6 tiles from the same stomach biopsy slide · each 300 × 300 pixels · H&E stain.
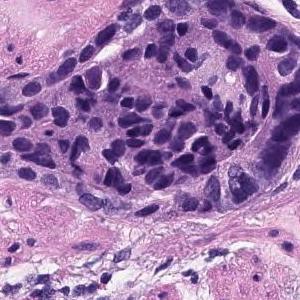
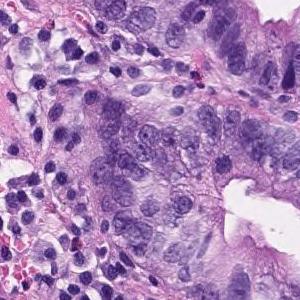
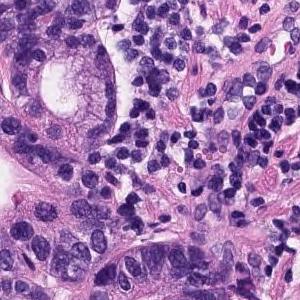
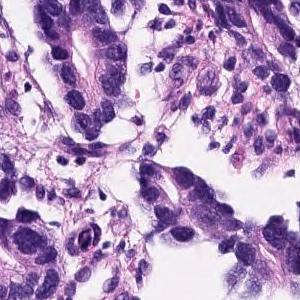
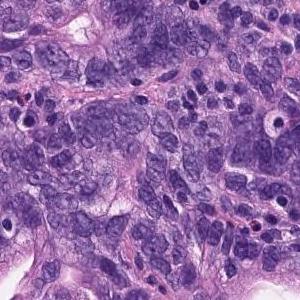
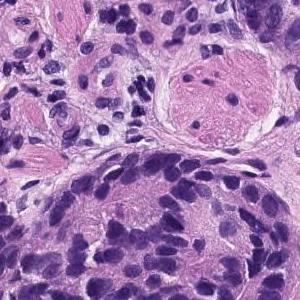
Pathology report for the slide these tiles were cut from. The report and the diagnosis describe the slide as a whole, so these tiles may not show every feature named and may include non-tumor tissue.
On the superficial epithelium, tumor tissue consisting of images showing invasive growth with small, irregular tubules partially fused is observed. moderately differentiated tubular adenocarcinoma
